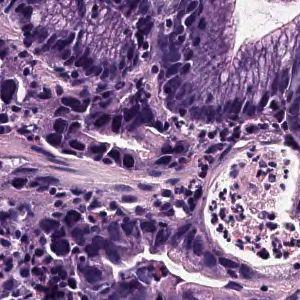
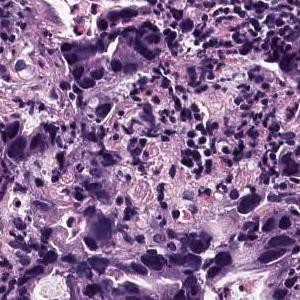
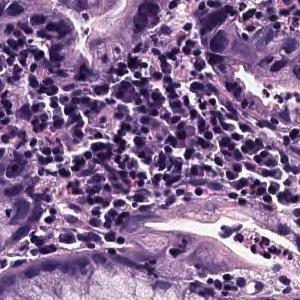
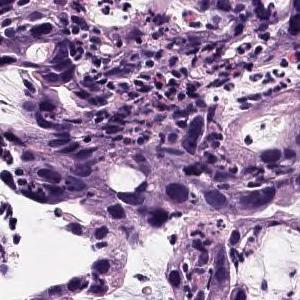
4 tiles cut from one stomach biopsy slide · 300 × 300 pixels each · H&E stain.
The pathologist's report on the biopsy slide these tiles were taken from. The report and the diagnosis describe the slide as a whole, so these tiles may not show every feature named and may include non-tumor tissue.
Atypical l cells with atypical nuclei form irregular ducts and infiltrate. Well differentiated adenocarcinoma
Tumor subtype: well differentiated tubular adenocarcinoma.
